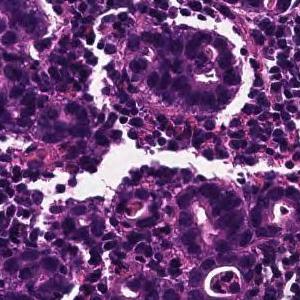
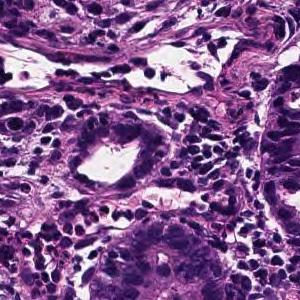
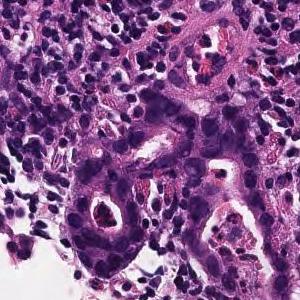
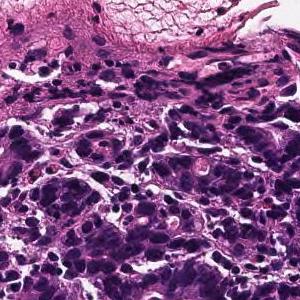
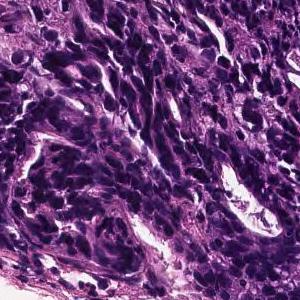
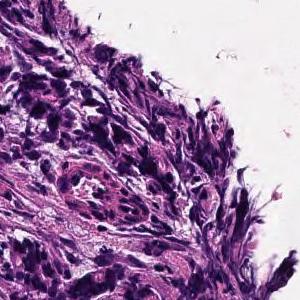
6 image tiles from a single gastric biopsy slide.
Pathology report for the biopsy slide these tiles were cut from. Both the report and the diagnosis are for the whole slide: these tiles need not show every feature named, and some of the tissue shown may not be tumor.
On the superficial epithelium, tumor tissue is found in which medium-sized irregular gland ducts fuse with each other and infiltrate. moderately differentiated tubular adenocarcinoma or Poorly differentiated adenocarcinoma, non-solid type
Classified as moderately to poorly differentiated adenocarcinoma.
The non-solid type named here is a Japanese Classification of Gastric Carcinoma category.
